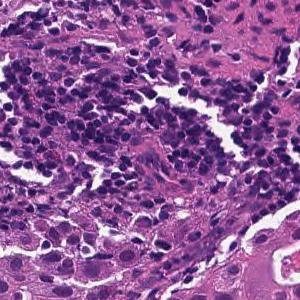
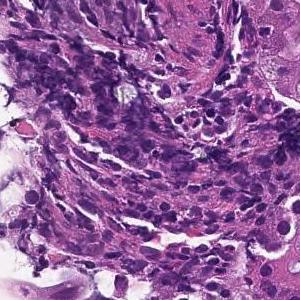
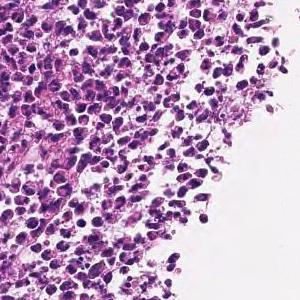
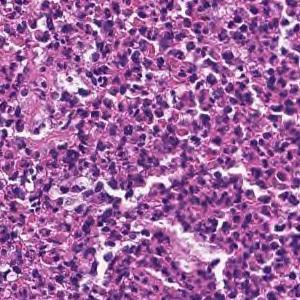
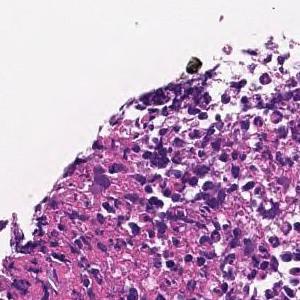
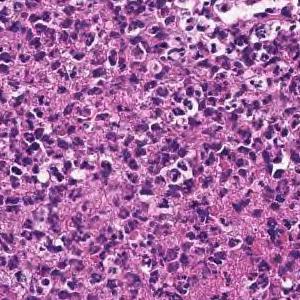
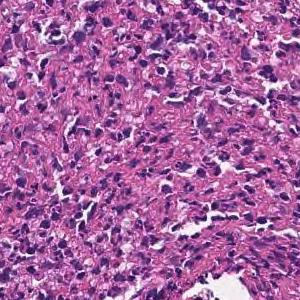
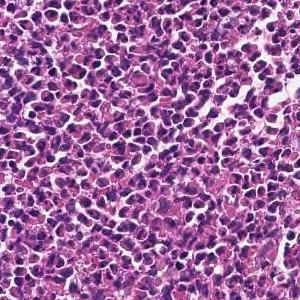
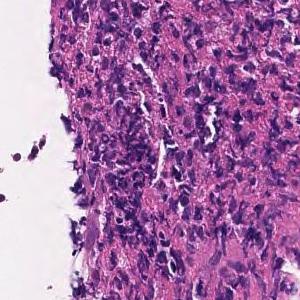
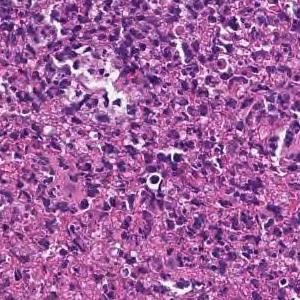
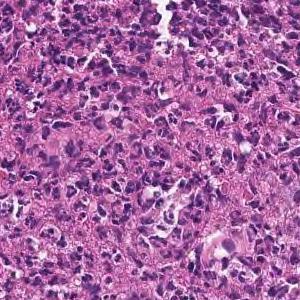
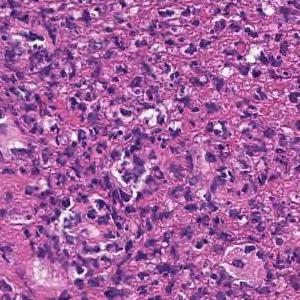
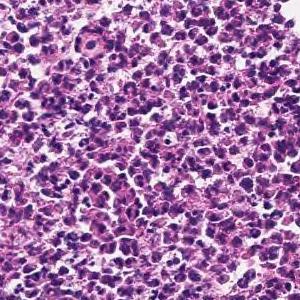
13 tiles from the same stomach biopsy slide; 300 × 300 pixels each; hematoxylin and eosin stain.
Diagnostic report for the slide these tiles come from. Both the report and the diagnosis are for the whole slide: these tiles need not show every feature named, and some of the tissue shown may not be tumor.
In the superficial epithelium, tumor tissue infiltrated by partial fusion of medium-sized to small, irregular glandular ducts is observed. moderately differentiated tubular adenocarcinoma
